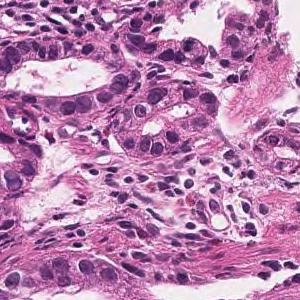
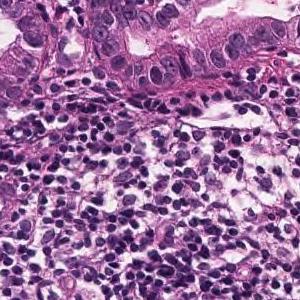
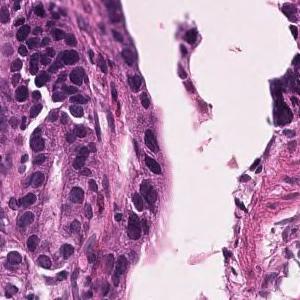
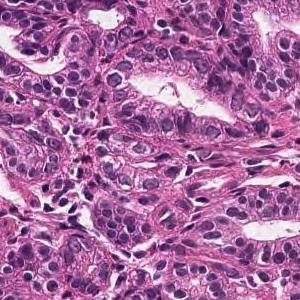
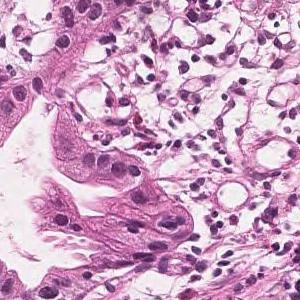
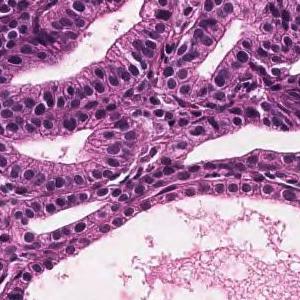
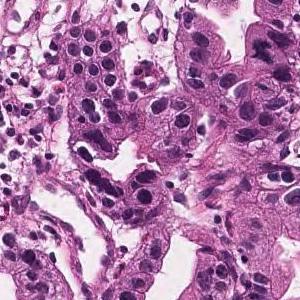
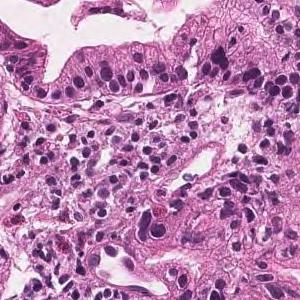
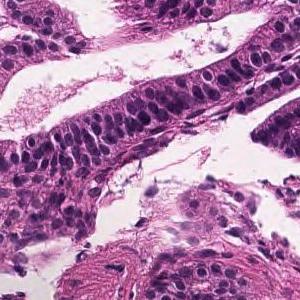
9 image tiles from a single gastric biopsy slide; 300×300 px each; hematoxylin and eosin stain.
Pathology report for the biopsy slide these tiles were cut from. The report and the diagnosis describe the slide as a whole, so these tiles may not show every feature named and may include non-tumor tissue.
Tumor tissue consisting of medium-sized and irregular ducts is observed infiltrating in the superficial epithelium. Tumor cells are highly columnar, with nuclei aligned basolaterally and polarized. Well differentiated tubular adenocarcinoma.
